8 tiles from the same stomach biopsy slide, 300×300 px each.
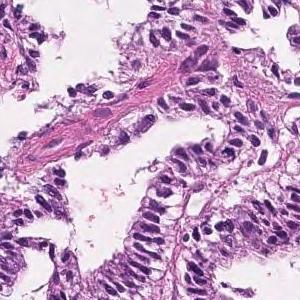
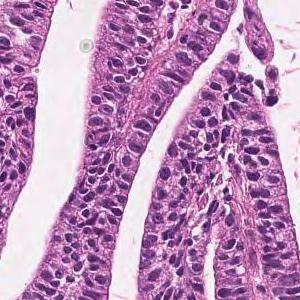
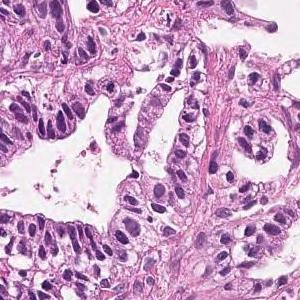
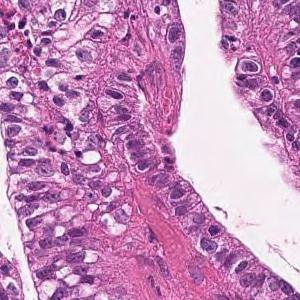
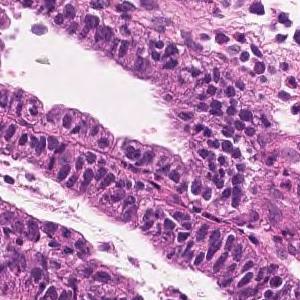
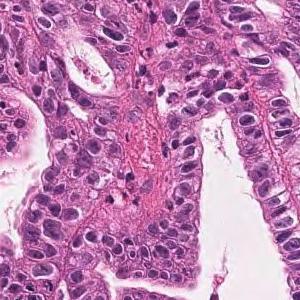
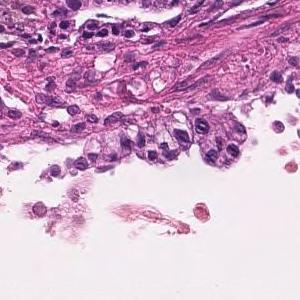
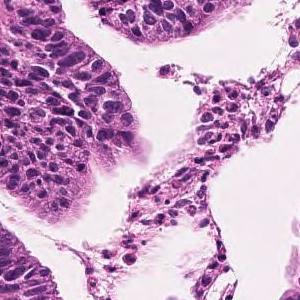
Pathology report for the biopsy slide these tiles were cut from. The report describes the whole slide, diagnosis included: not every finding it names need appear in these tiles, which may also show non-tumor tissue.
Tumor cells are large, highly columnar, large club-shaped nuclei, and are associated with chromatin aggregation. Papillary adenocarcinoma.
